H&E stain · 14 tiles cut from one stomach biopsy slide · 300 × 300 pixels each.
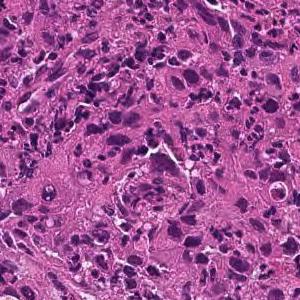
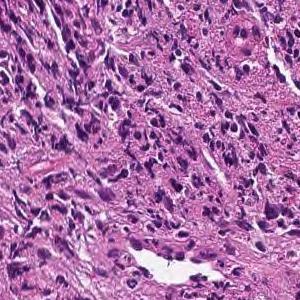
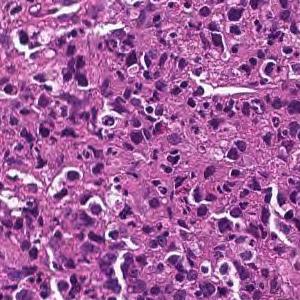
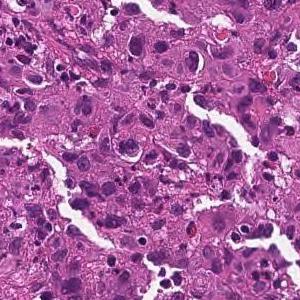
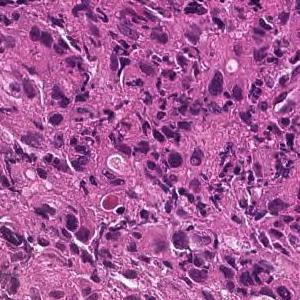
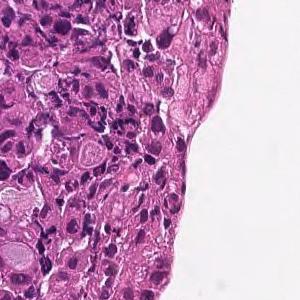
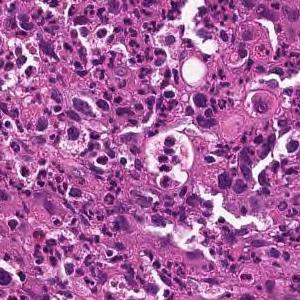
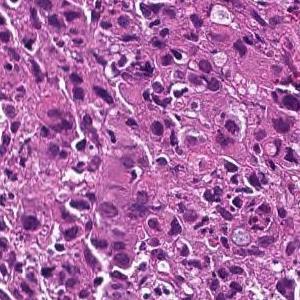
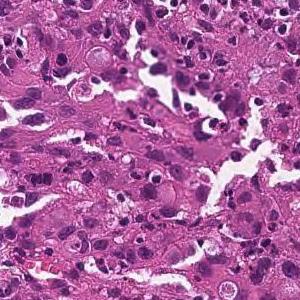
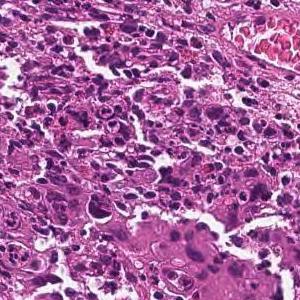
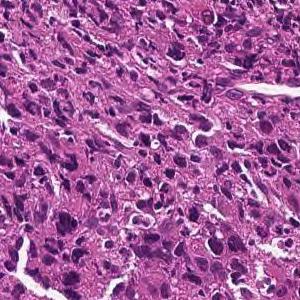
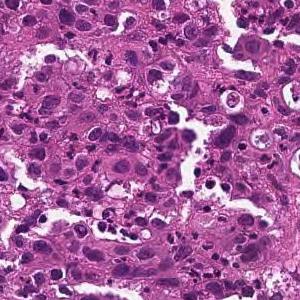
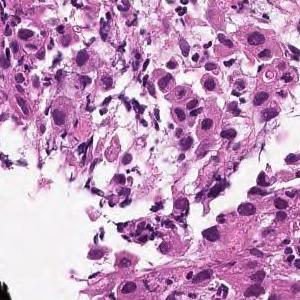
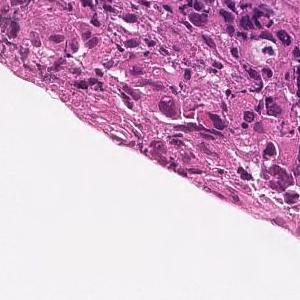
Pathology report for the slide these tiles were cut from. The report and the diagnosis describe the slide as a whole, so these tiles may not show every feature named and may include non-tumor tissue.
The superficial epithelium shows a large sheet-like shape, and some tumor tissue infiltrates with small irregular ducts. Poorly differentiated adenocarcinoma, solid-type
Histological subtype: Poorly differentiated adenocarcinoma, solid type. This name comes from the Japanese Classification of Gastric Carcinoma; the WHO 2019 classification calls it tubular adenocarcinoma, poorly differentiated.
